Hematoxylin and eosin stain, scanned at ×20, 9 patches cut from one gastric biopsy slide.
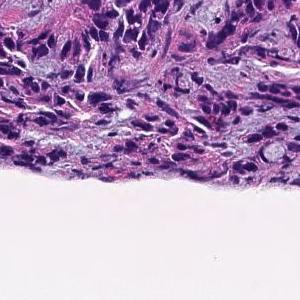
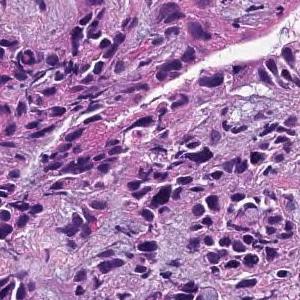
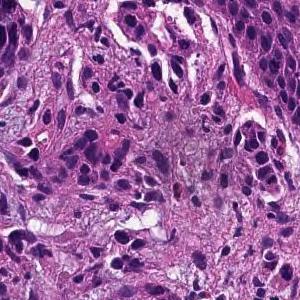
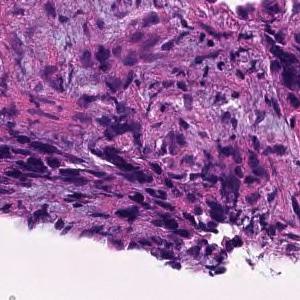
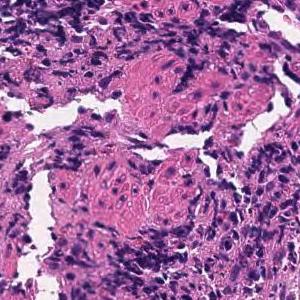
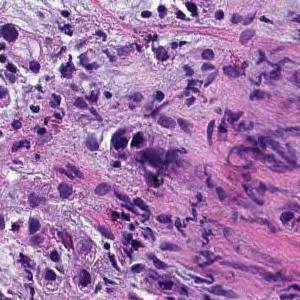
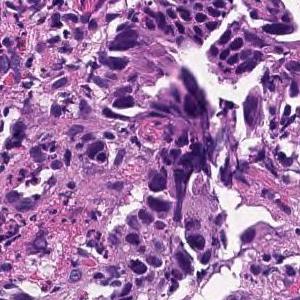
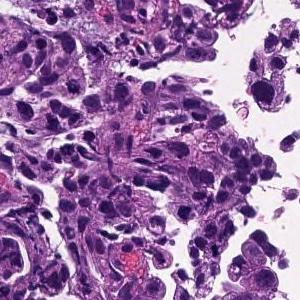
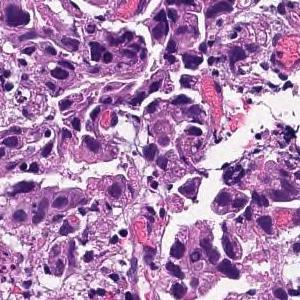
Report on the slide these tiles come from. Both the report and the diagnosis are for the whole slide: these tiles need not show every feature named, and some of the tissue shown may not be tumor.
Tumor tissue consisting of cord-like or small, irregular glandular ducts fused and infiltrated is observed in the superficial epithelium. Poorly differentiated adenocarcinoma, non-solid type
The non-solid type named here is a Japanese Classification of Gastric Carcinoma category.
